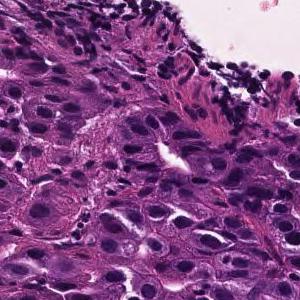
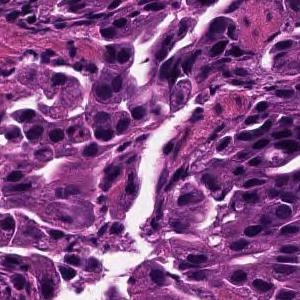
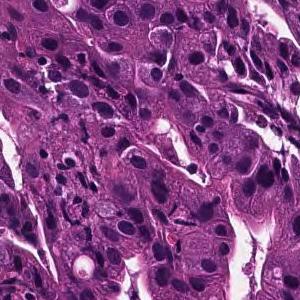
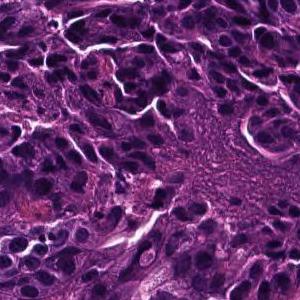
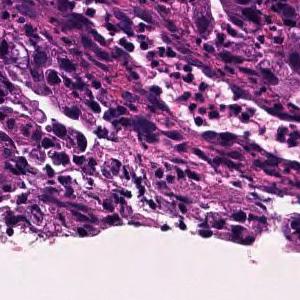
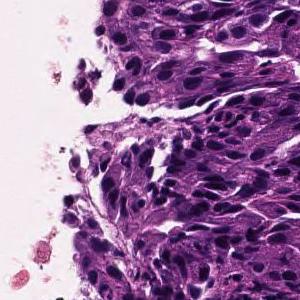
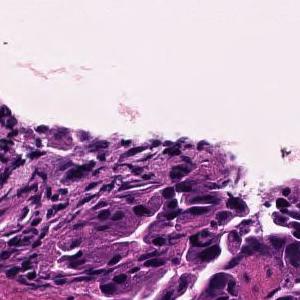
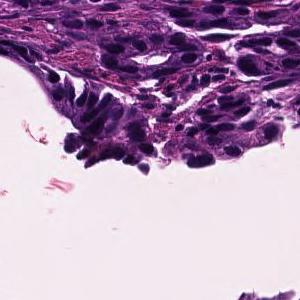
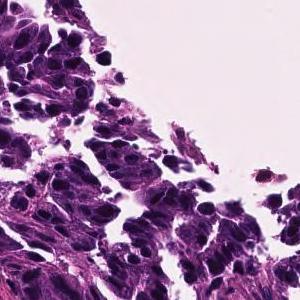
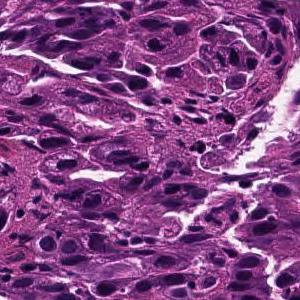
10 tiles cut from one stomach biopsy slide · 300 × 300 pixels each · scanned at ×20.
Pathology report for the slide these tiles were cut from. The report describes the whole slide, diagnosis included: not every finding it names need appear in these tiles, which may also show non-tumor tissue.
Tumor tissue consisting of medium-sized, cord-like or irregular glandular fusion and infiltration is observed in the superficial epithelium. Poorly differentiated adenocarcinoma, non-solid type or moderately differentiated tubular adenocarcinoma
Subtype: Moderately to poorly differentiated adenocarcinoma.
The non-solid type named here is a Japanese Classification of Gastric Carcinoma category.
